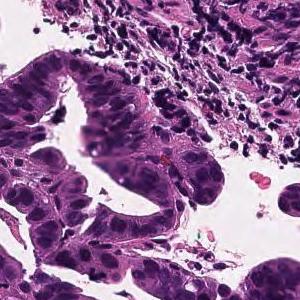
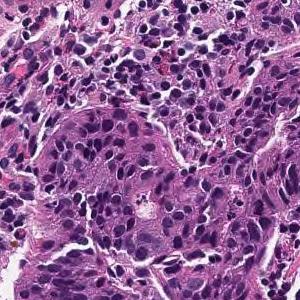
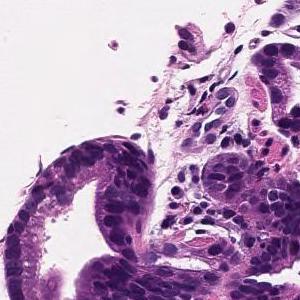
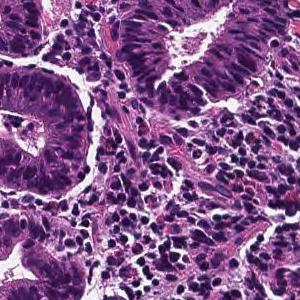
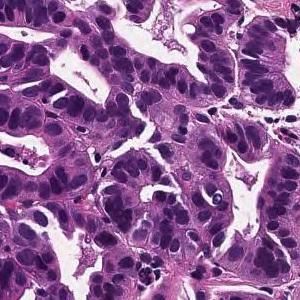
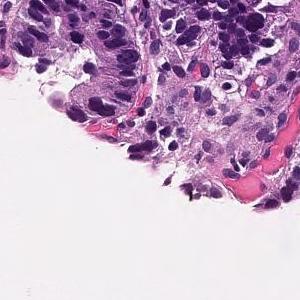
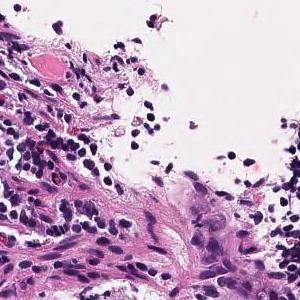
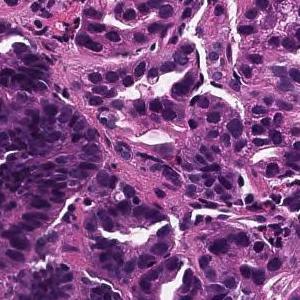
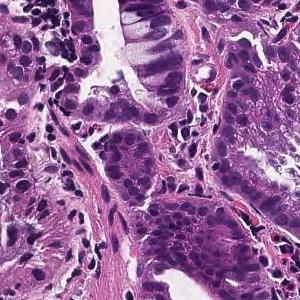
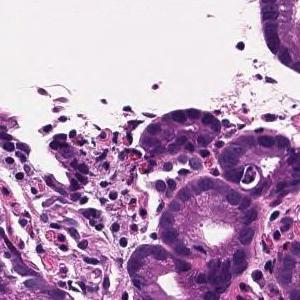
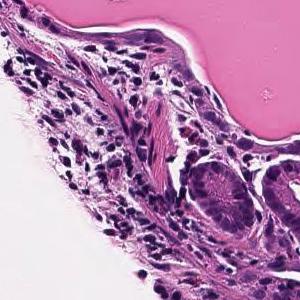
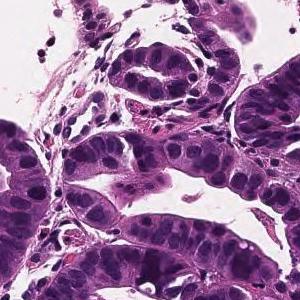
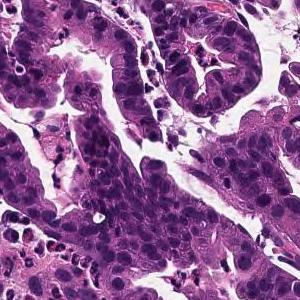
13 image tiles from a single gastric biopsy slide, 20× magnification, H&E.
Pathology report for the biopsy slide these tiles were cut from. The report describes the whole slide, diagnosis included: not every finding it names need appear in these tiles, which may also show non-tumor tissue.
From the superficial epithelium to the muscularis mucosae, tumor tissue that invades by forming medium-sized to small irregular gland ducts is observed. Well differentiated tubular adenocarcinoma (well differentiated tubular adenocarcinoma)
Classified as well differentiated tubular adenocarcinoma.
